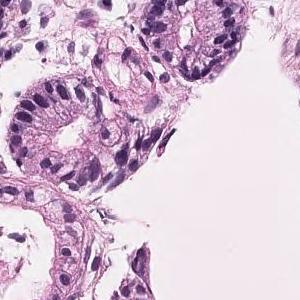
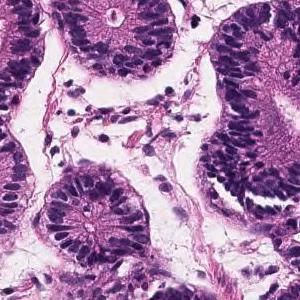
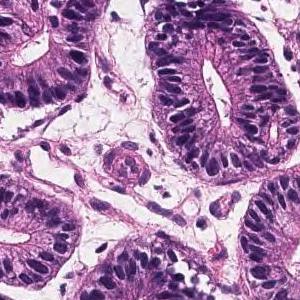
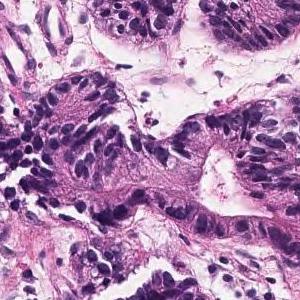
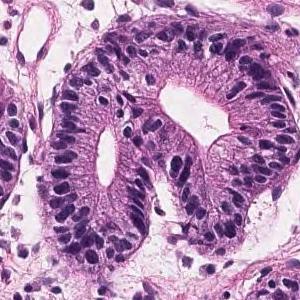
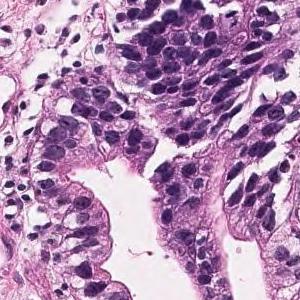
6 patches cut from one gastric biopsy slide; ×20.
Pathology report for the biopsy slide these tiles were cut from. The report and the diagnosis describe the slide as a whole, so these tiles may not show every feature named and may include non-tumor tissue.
Tumor tissue in which medium to small irregular ducts infiltrate and proliferate in the submucosa can be seen in the epithelium. Well differentiated tubular adenocarcinoma
